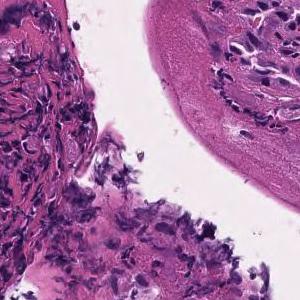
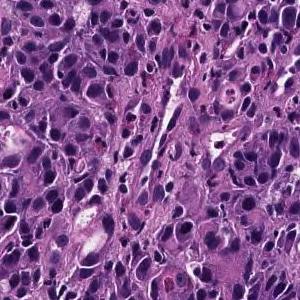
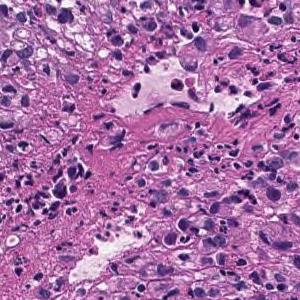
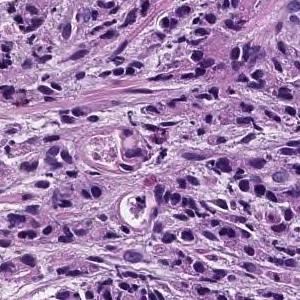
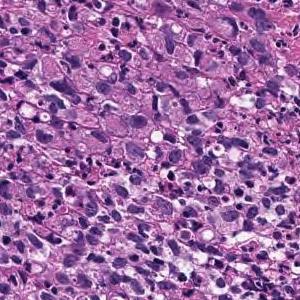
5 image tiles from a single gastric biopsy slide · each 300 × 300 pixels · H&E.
Pathology report for the slide these tiles were cut from. The findings and the diagnosis refer to the entire slide; these tiles show only part of it, possibly with non-tumor tissue, and may not show every feature named.
The superficial epithelium shows a large sheet-like shape, and some tumor tissue infiltrates with small irregular ducts. Poorly differentiated adenocarcinoma, solid-type
Classified as poorly differentiated adenocarcinoma, solid type, a category of the Japanese Classification of Gastric Carcinoma; in the WHO 2019 classification it is tubular adenocarcinoma, poorly differentiated.
